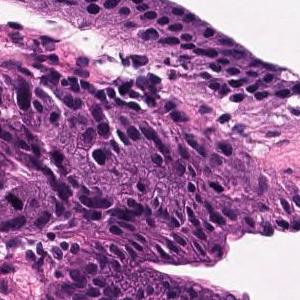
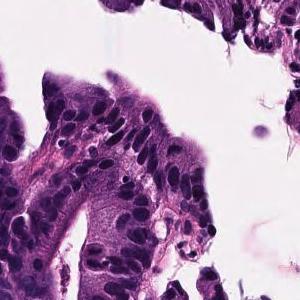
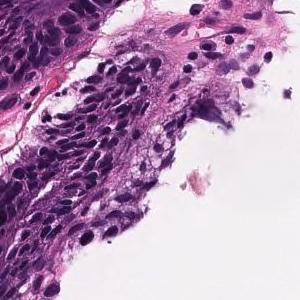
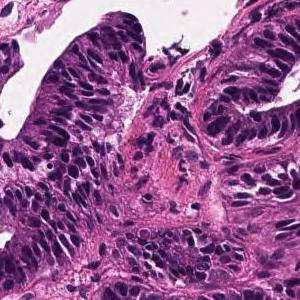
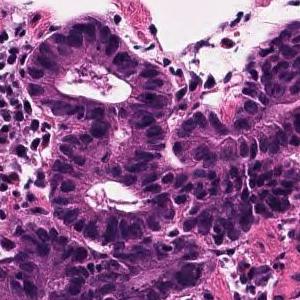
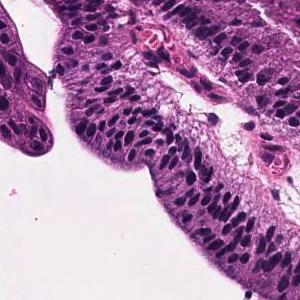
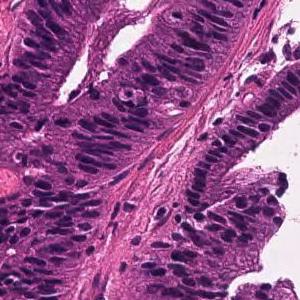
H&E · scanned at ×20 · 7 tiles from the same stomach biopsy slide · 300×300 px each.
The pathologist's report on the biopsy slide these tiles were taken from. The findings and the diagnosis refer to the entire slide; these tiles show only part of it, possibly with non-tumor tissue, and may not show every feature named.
Tumor tissue that remains within the superficial epithelium and is infiltrated by large papillary or irregular ducts that fuse with each other is observed. Well differentiated tubular adenocarcinoma
